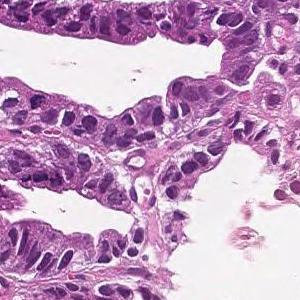
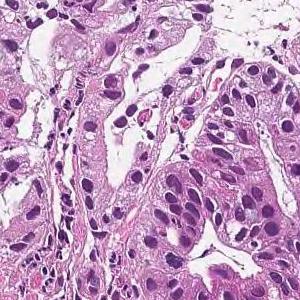
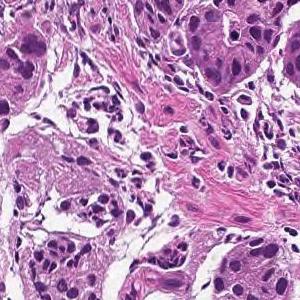
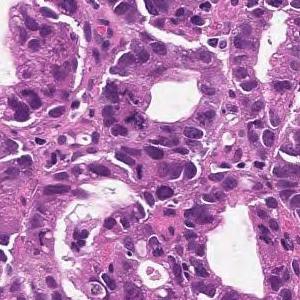
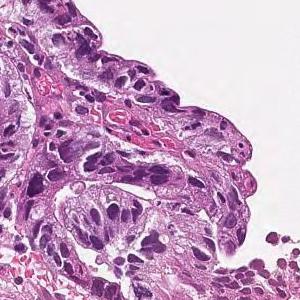
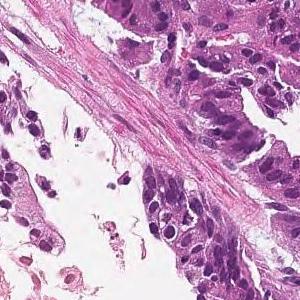
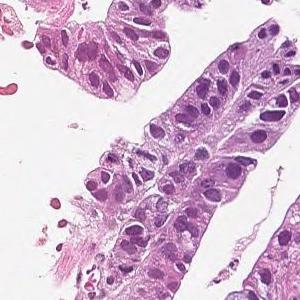
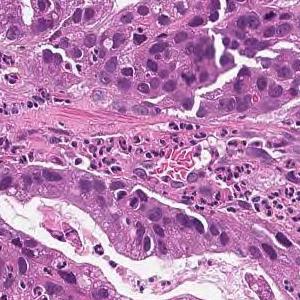
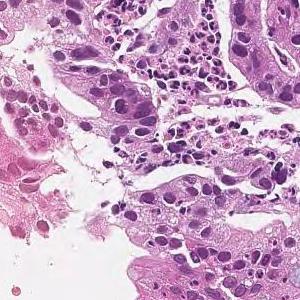
9 tiles cut from one stomach biopsy slide; scanned at ×20; H&E stain.
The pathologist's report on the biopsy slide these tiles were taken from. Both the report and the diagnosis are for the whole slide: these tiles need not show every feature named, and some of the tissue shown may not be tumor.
On the superficial epithelium, tumor tissue that infiltrates by forming medium-sized papillary or small irregular ducts is observed. Papillary adenocarcinoma
